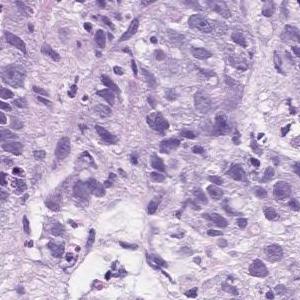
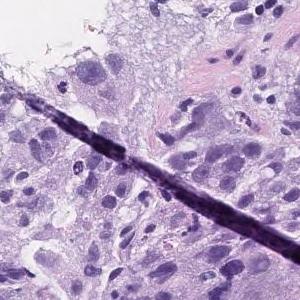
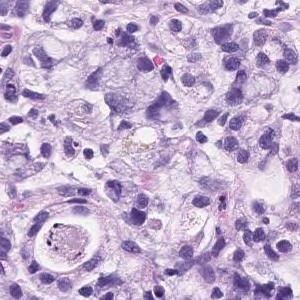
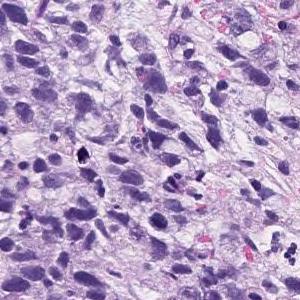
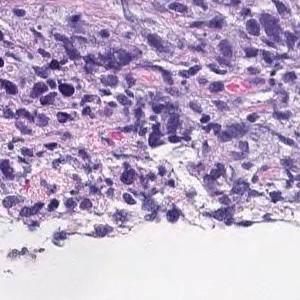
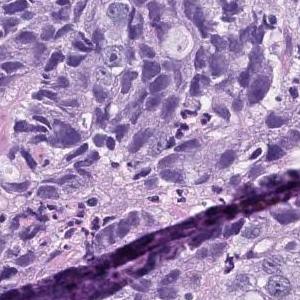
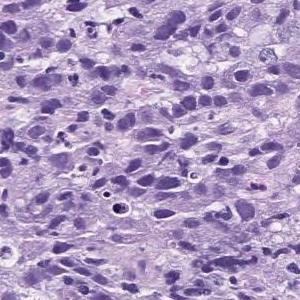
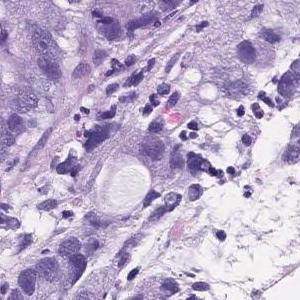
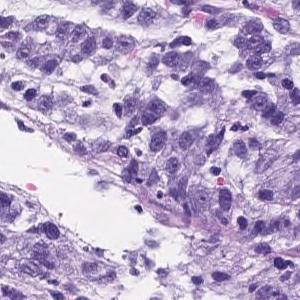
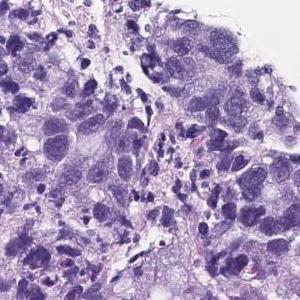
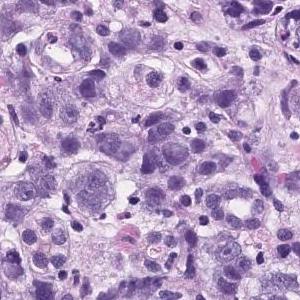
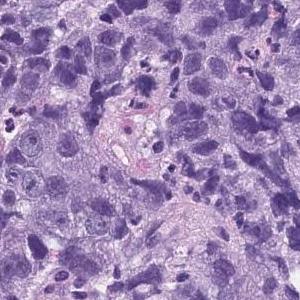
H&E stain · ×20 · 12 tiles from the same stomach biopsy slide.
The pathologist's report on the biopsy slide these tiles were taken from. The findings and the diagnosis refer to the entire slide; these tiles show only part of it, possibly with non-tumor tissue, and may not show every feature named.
Atypical l cells with atypical nuclei forming solid vesicles or small irregular atypical ducts that proliferate in a complex manner. poorly differentiated adenocarcinoma, solid type, moderately differentiated tubular adenocarcinoma
The term "solid type" comes from the Japanese Classification of Gastric Carcinoma; the WHO 2019 equivalent is tubular adenocarcinoma, poorly differentiated.
